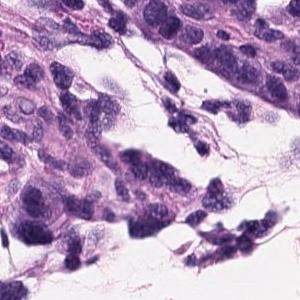
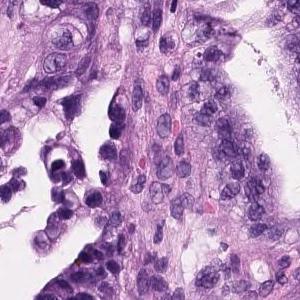
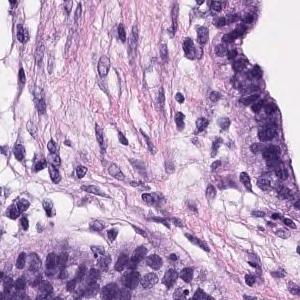
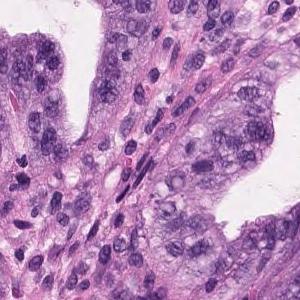
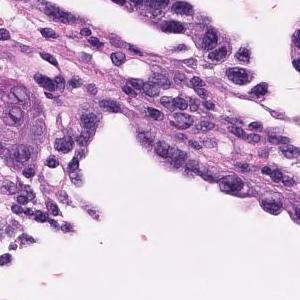
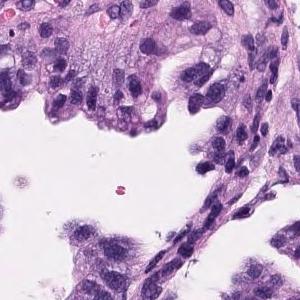
20× magnification, hematoxylin and eosin stain, 6 patches cut from one gastric biopsy slide, each 300 × 300 pixels.
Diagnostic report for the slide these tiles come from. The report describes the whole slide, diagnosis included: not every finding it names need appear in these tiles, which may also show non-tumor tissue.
Tumor cells are large, highly columnar, large club-shaped nuclei, and are associated with chromatin aggregation. Papillary adenocarcinoma.
